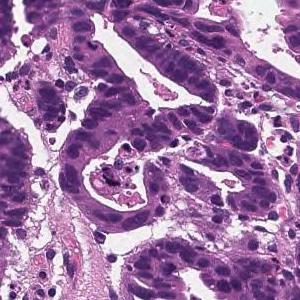
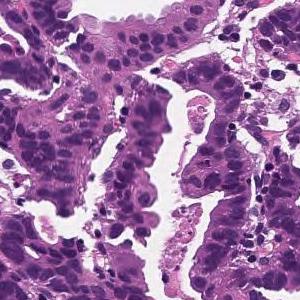
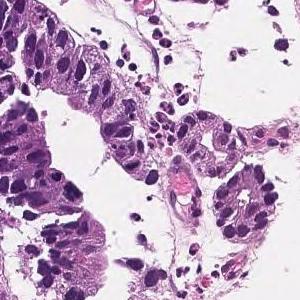
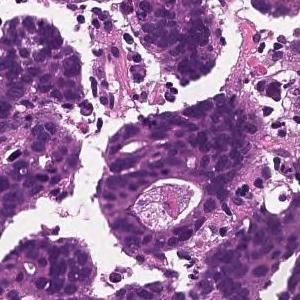
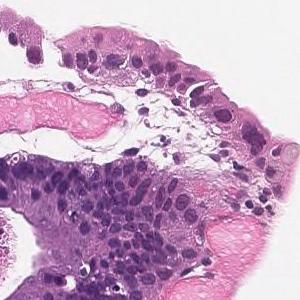
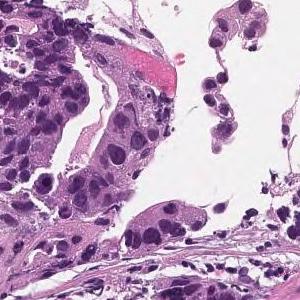
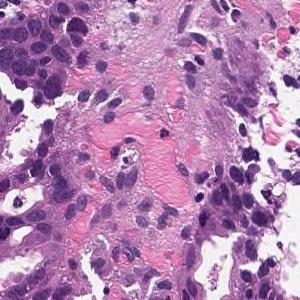
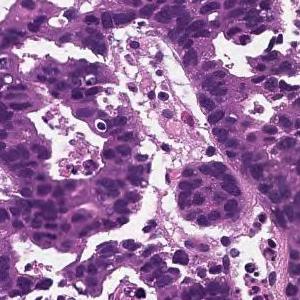
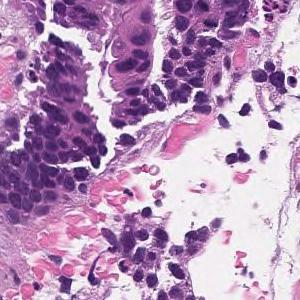
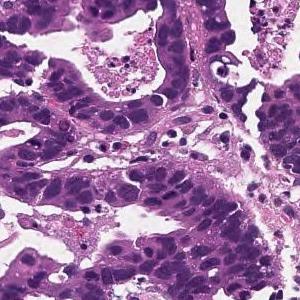
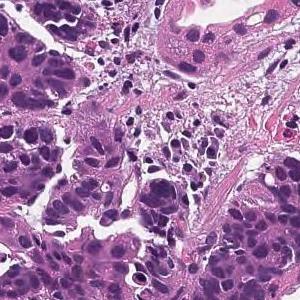
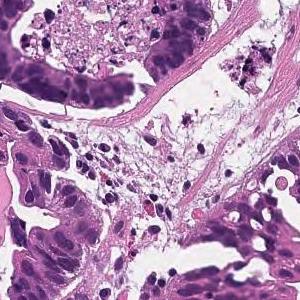
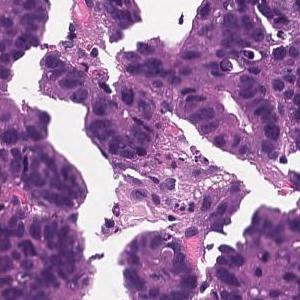
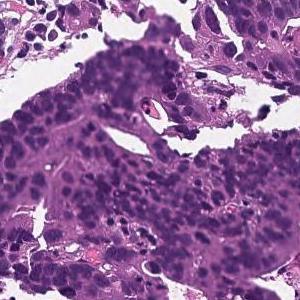
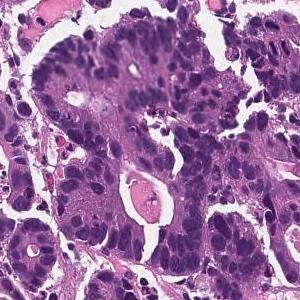
15 patches cut from one gastric biopsy slide; 300×300 px each; H&E stain.
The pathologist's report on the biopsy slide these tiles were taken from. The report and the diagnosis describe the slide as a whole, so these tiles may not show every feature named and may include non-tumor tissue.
In the superficial epithelium, tumor tissue that invades by forming medium-sized to small, irregular ducts is observed. moderately differentiated tubular adenocarcinoma.
